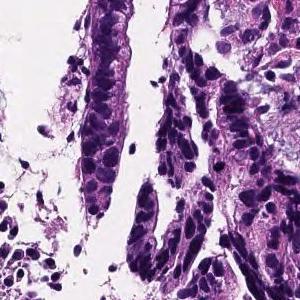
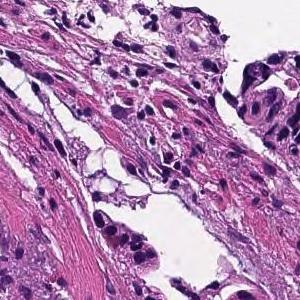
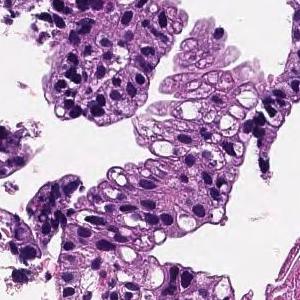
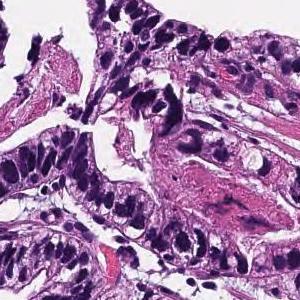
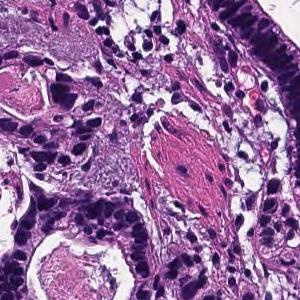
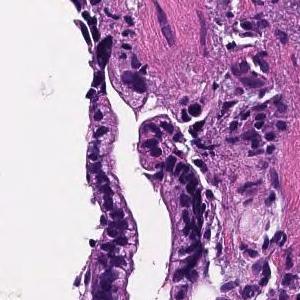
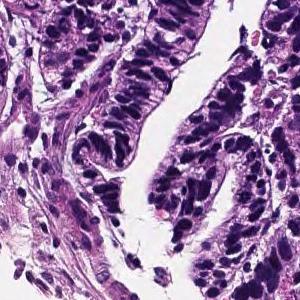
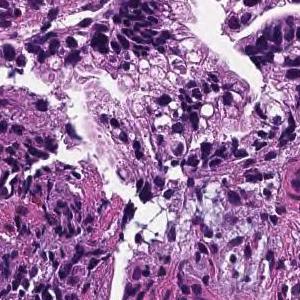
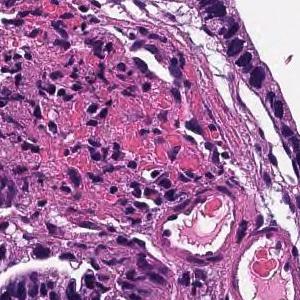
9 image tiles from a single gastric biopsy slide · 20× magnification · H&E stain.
Pathology report for the biopsy slide these tiles were cut from. The findings and the diagnosis refer to the entire slide; these tiles show only part of it, possibly with non-tumor tissue, and may not show every feature named.
On the superficial epithelium, tumor tissue that infiltrates by forming medium-sized papillary or small irregular ducts is observed. Papillary adenocarcinoma
